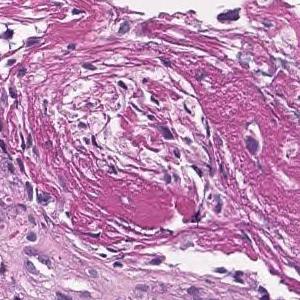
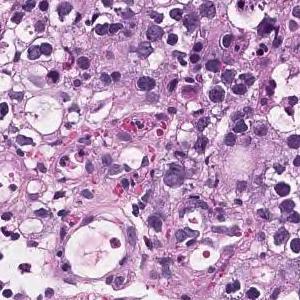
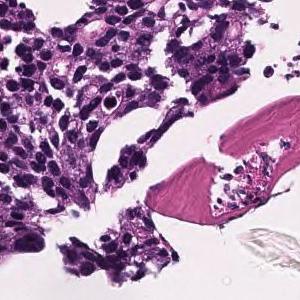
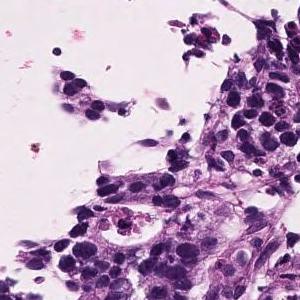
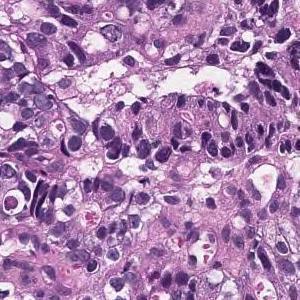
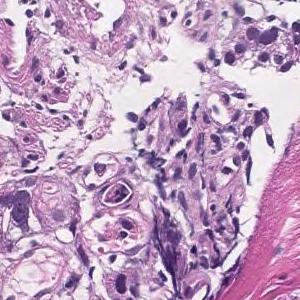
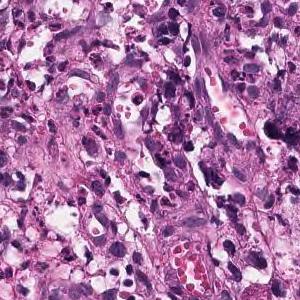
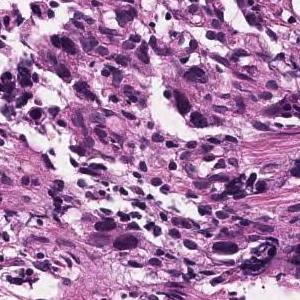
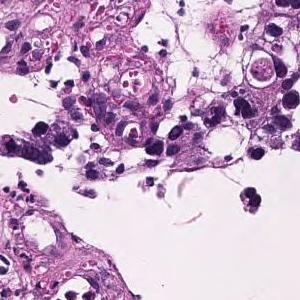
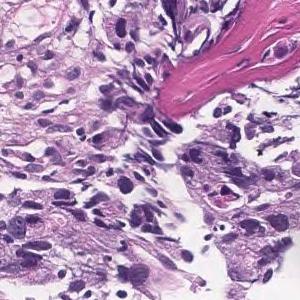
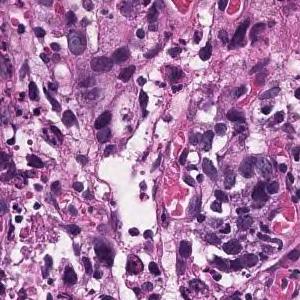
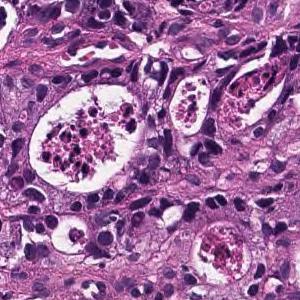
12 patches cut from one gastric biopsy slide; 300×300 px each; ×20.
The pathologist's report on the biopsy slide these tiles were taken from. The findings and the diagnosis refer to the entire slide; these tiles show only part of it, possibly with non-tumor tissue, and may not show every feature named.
Tumor tissue consisting of medium-sized, cord-like or irregular glandular infiltration is observed in the superficial epithelium. Poorly differentiated adenocarcinoma, non-solid type or moderately differentiated tubular adenocarcinoma
The non-solid type named here is a Japanese Classification of Gastric Carcinoma category.
